H&E · 9 tiles from the same stomach biopsy slide.
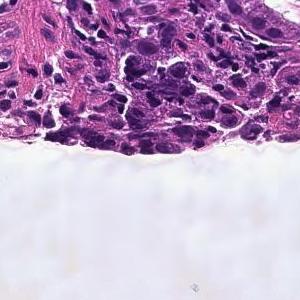
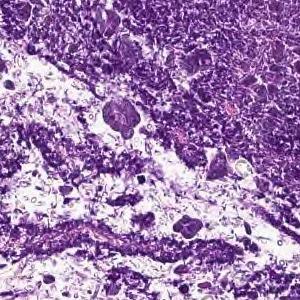
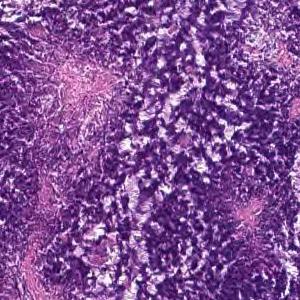
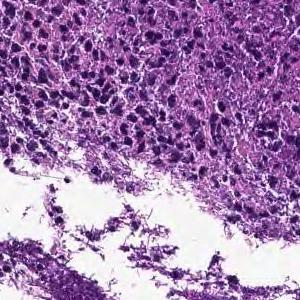
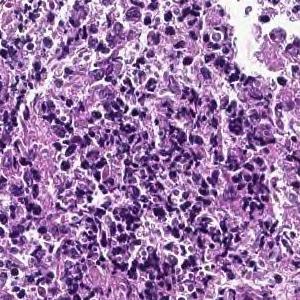
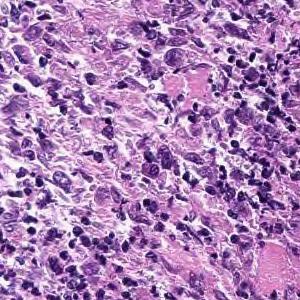
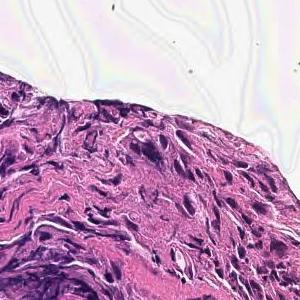
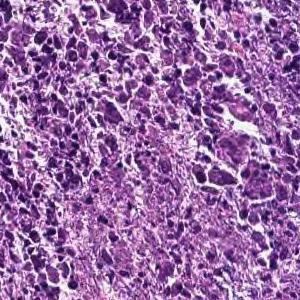
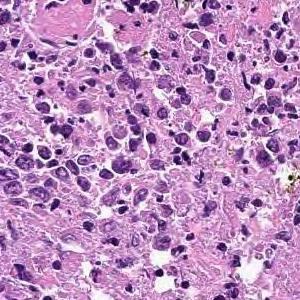
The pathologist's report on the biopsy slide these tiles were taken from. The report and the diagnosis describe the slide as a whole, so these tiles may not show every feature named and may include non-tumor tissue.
Cancers with polygonal nuclei do not show glandular formation and are densely, in part, cord-like and proliferate. Poorly differentiated adenocarcinoma
Subtype: Poorly differentiated adenocarcinoma, non-solid type.
The term "non-solid type" comes from the Japanese Classification of Gastric Carcinoma.
